16 tiles from the same stomach biopsy slide.
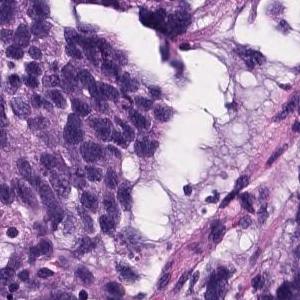
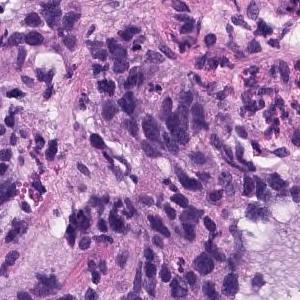
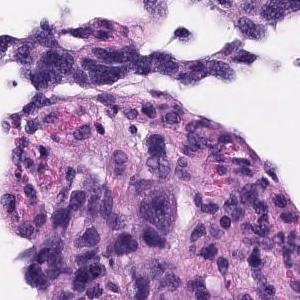
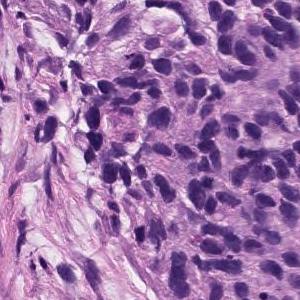
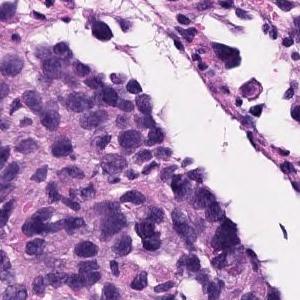
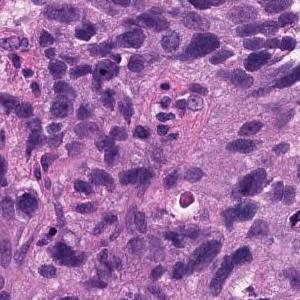
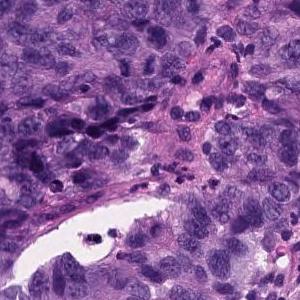
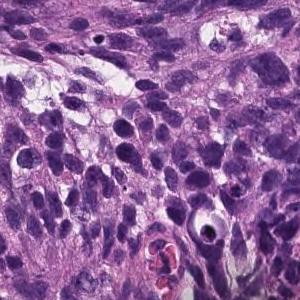
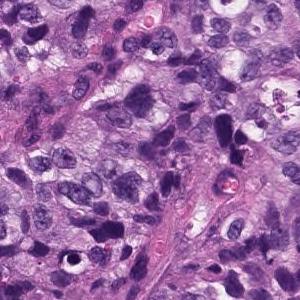
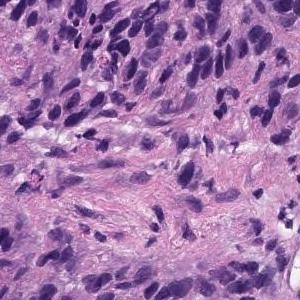
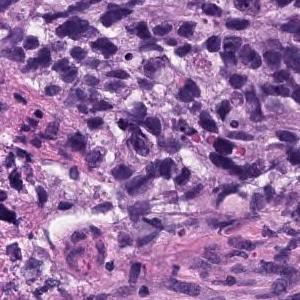
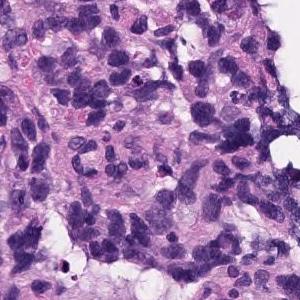
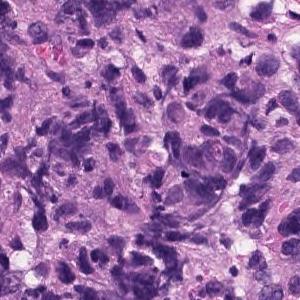
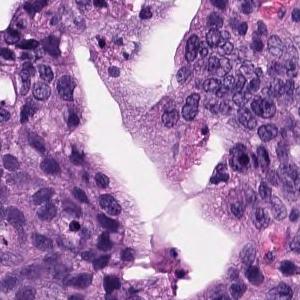
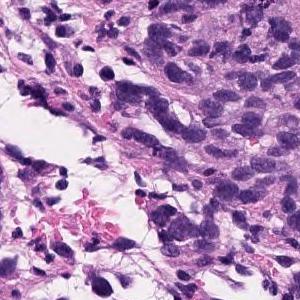
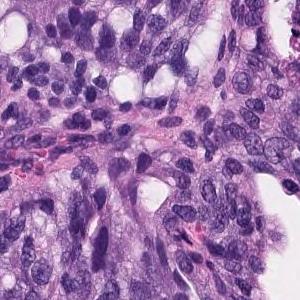
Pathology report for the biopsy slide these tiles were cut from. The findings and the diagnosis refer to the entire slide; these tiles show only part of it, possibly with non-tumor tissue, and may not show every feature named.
Atypical l cells with atypical nuclei under the mucosa growing in isolation and scattered. Poorly differentiated adenocarcinoma (poorly differentiated adenocarcinoma, non-solid type)
Histologic type: Poorly differentiated adenocarcinoma, non-solid type.
The term "non-solid type" comes from the Japanese Classification of Gastric Carcinoma.
